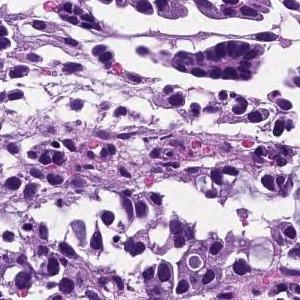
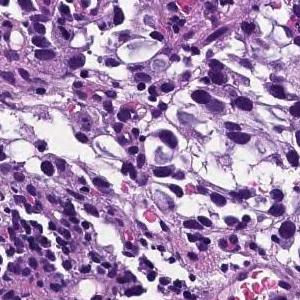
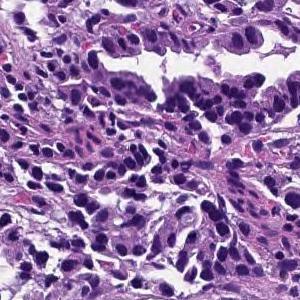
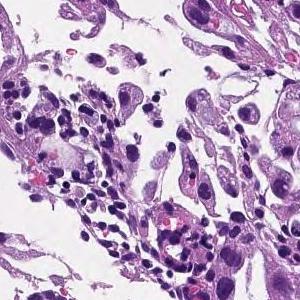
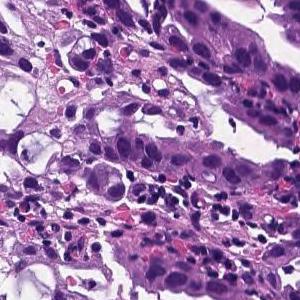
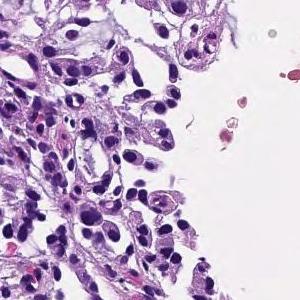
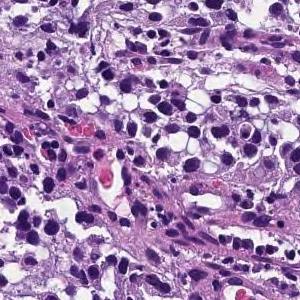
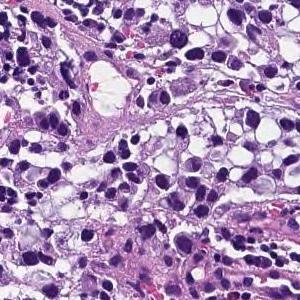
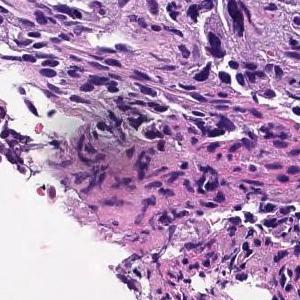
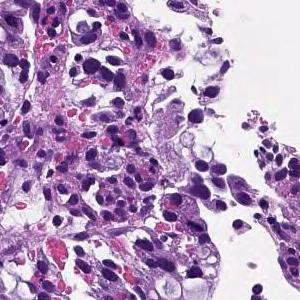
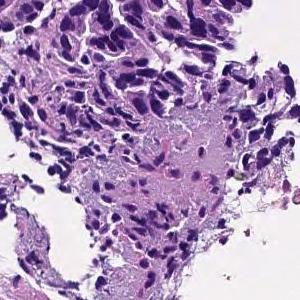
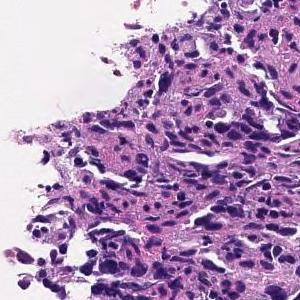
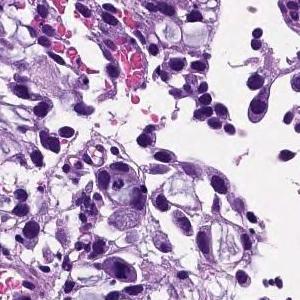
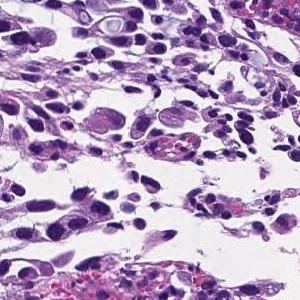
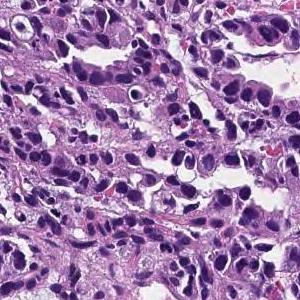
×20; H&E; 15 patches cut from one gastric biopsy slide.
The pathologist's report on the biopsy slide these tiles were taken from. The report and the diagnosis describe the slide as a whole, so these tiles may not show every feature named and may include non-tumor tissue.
Tumor tissue consisting of medium-sized, cord-like or irregular glandular infiltration is observed in the superficial epithelium. Poorly differentiated adenocarcinoma, non-solid type or moderately differentiated tubular adenocarcinoma
Histologic type: Moderately to poorly differentiated adenocarcinoma.
The non-solid type named here is a Japanese Classification of Gastric Carcinoma category.
